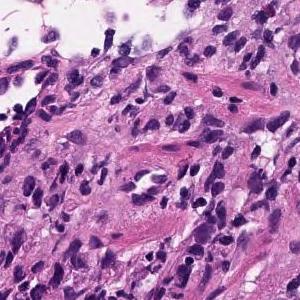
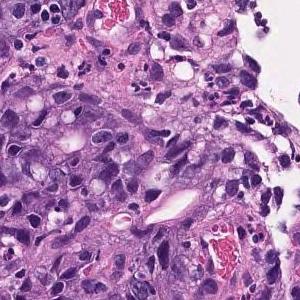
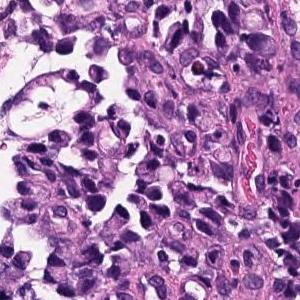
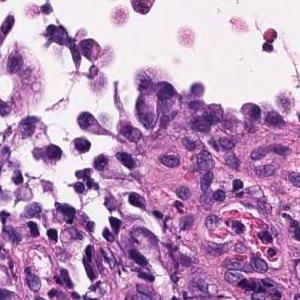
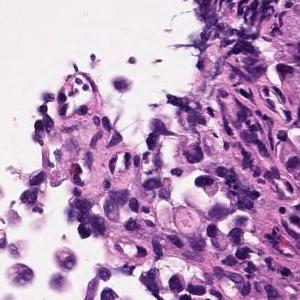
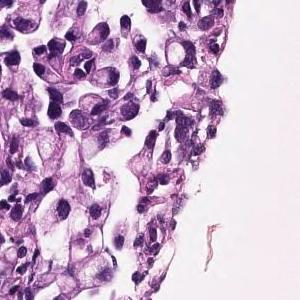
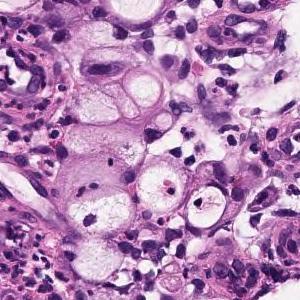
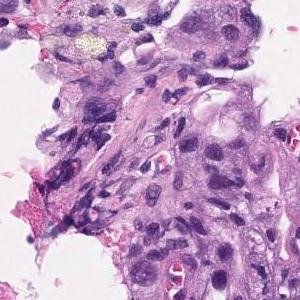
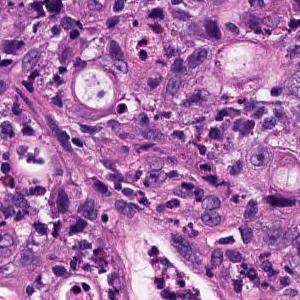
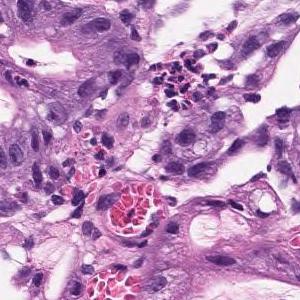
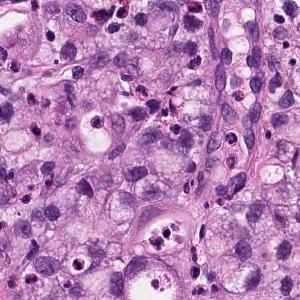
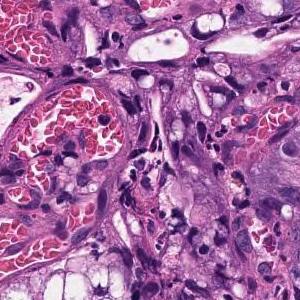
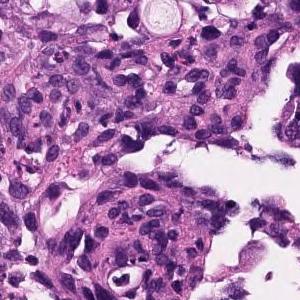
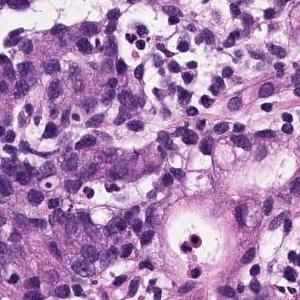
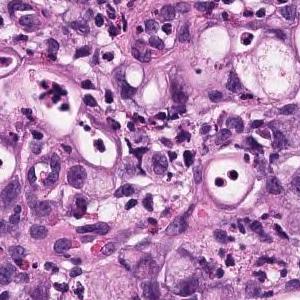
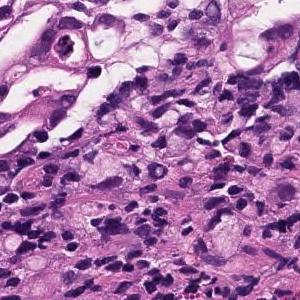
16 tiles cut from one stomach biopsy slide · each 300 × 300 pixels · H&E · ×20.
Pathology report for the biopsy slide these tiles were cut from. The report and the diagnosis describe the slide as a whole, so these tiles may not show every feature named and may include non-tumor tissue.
Atypical epithelium forms irregularly fused gland ducts and proliferates. Poorly differentiated adenocarcinoma.
Histological subtype: Poorly differentiated adenocarcinoma, non-solid type.
The term "non-solid type" comes from the Japanese Classification of Gastric Carcinoma.
